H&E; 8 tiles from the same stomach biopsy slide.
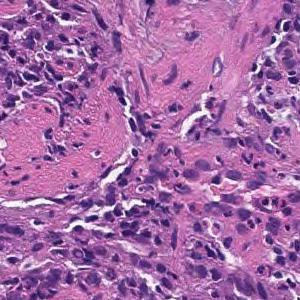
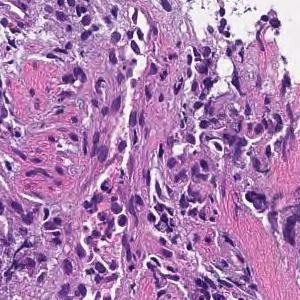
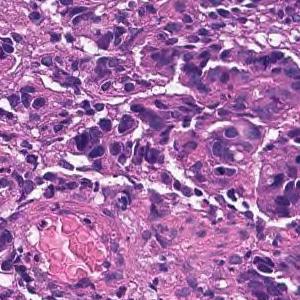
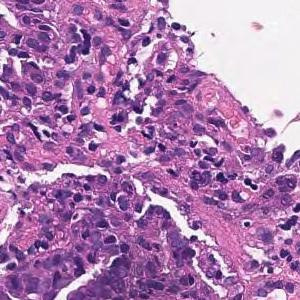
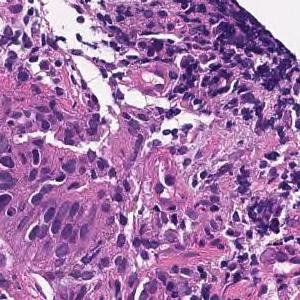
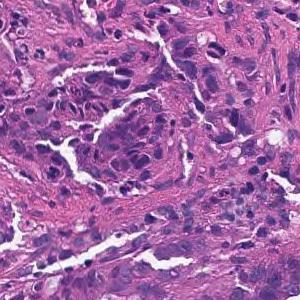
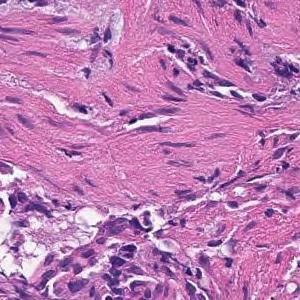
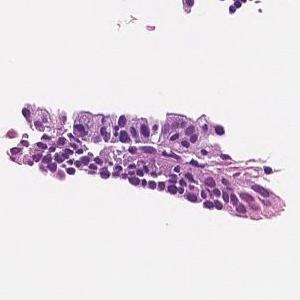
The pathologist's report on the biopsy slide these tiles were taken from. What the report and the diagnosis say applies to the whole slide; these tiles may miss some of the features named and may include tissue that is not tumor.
On the superficial epithelium, tumor tissue consisting of large, irregular glandular ducts partially fused and infiltrated is observed. Well to moderately differentiated tubular adenocarcinoma (well differentiated tubular adenocarcinoma, moderately differentiated tubular adenocarcinoma)
Histological subtype: Well to moderately differentiated tubular adenocarcinoma.
